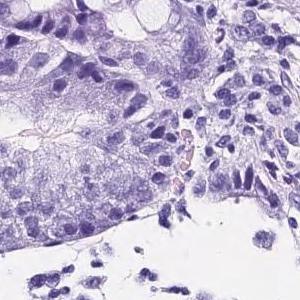
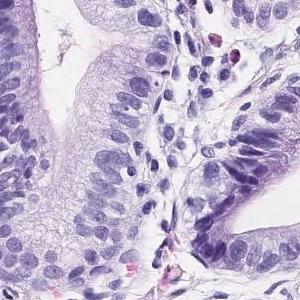
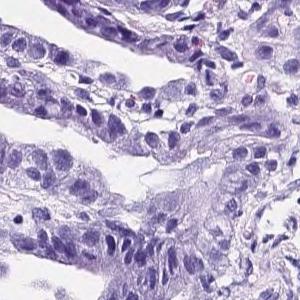
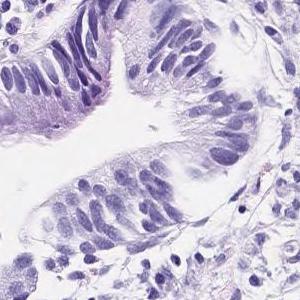
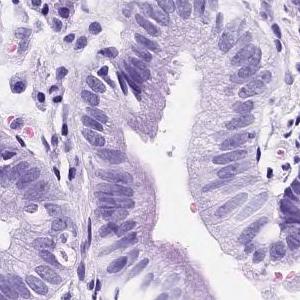
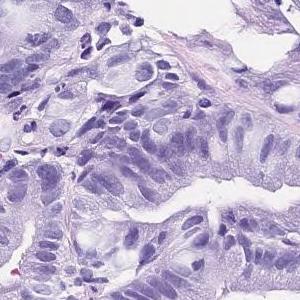
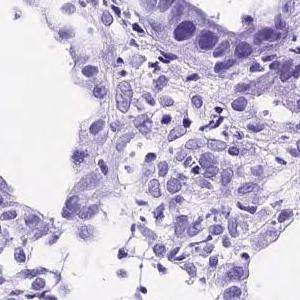
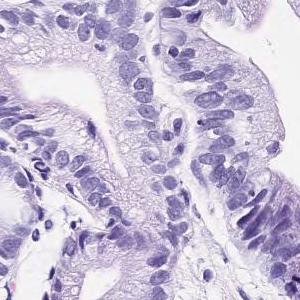
8 image tiles from a single gastric biopsy slide; 300 × 300 pixels each; H&E; scanned at ×20.
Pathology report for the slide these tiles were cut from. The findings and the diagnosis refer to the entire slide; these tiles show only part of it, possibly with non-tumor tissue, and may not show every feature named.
Tumor tissue consisting of medium-sized and irregular ducts is observed infiltrating in the superficial epithelium. Tumor cells are highly columnar, with nuclei aligned basolaterally and polarized. Well differentiated tubular adenocarcinoma.
